Scanned at ×20, 7 image tiles from a single gastric biopsy slide, 300×300 px each.
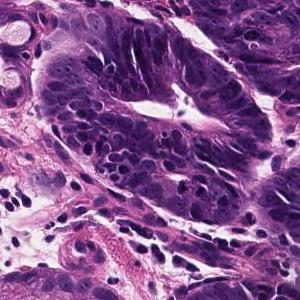
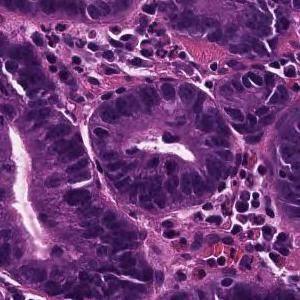
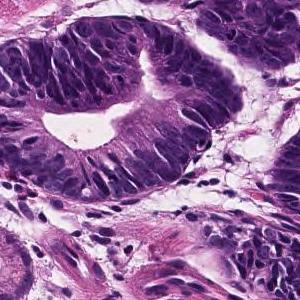
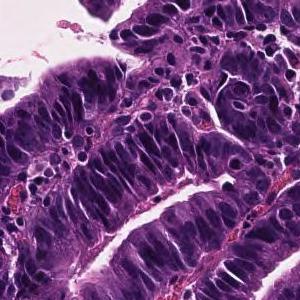
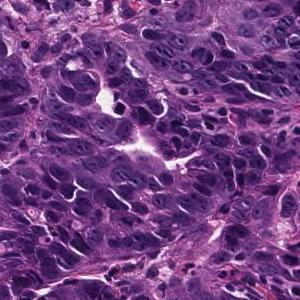
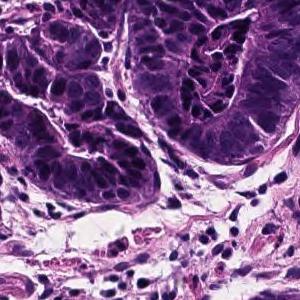
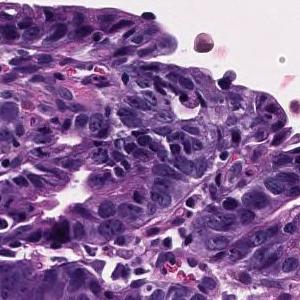
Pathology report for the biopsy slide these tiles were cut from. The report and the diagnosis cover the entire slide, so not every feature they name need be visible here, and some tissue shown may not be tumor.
On the superficial epithelium, tumor tissue consisting of growth of medium-sized to large-sized, round or irregular glandular ducts is observed. Well differentiated tubular adenocarcinoma
